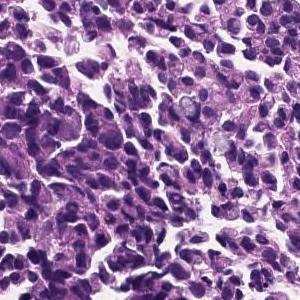
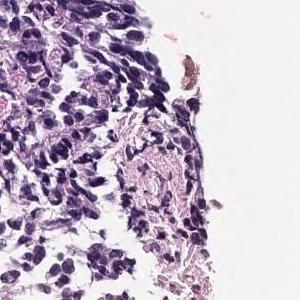
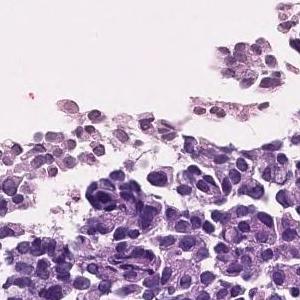
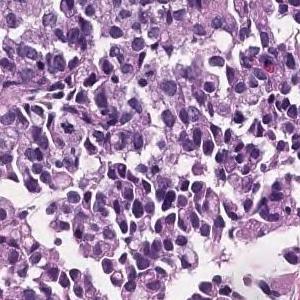
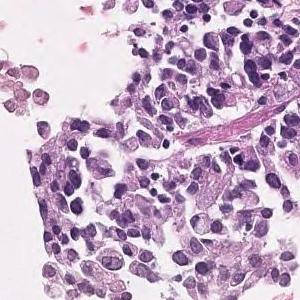
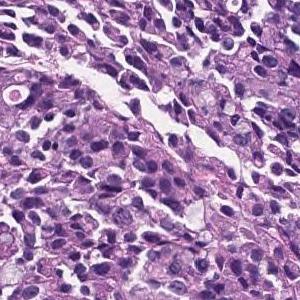
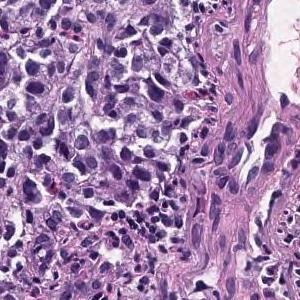
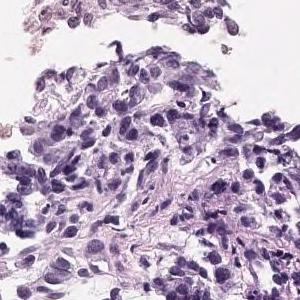
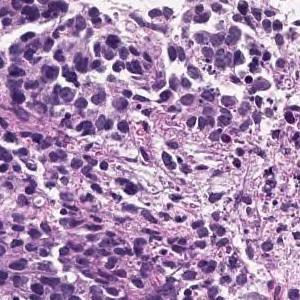
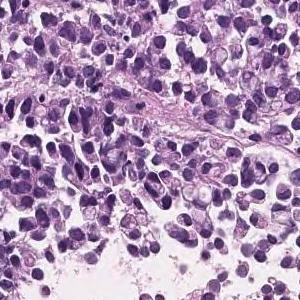
Scanned at ×20; H&E stain; 10 tiles cut from one stomach biopsy slide; each 300 × 300 pixels.
Diagnostic report for the slide these tiles come from. The report and the diagnosis cover the entire slide, so not every feature they name need be visible here, and some tissue shown may not be tumor.
The superficial epithelium shows a large sheet-like shape, and some tumor tissue infiltrates with small irregular ducts. Poorly differentiated adenocarcinoma, solid-type
Subtype: Poorly differentiated adenocarcinoma, solid type, a category of the Japanese Classification of Gastric Carcinoma; in the WHO 2019 classification it is tubular adenocarcinoma, poorly differentiated.
